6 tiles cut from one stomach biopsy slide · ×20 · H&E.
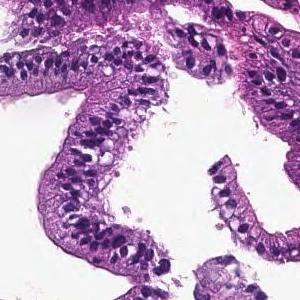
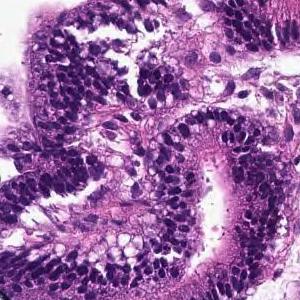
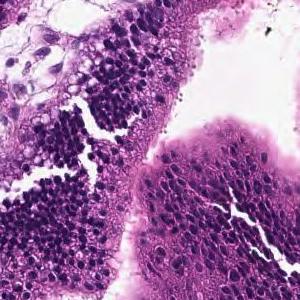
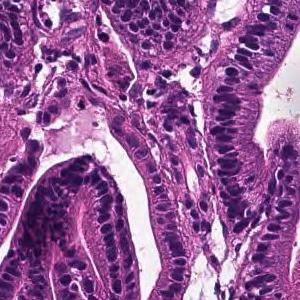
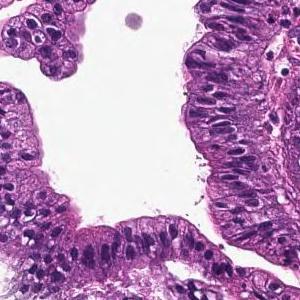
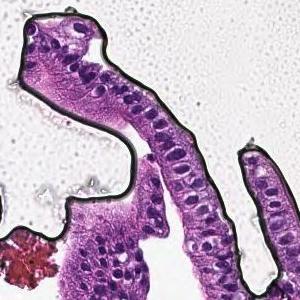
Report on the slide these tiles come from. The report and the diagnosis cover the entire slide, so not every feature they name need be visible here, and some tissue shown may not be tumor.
On the superficial epithelium, tumor tissue that infiltrates by forming medium-sized round or small irregular ducts is observed. Papillary adenocarcinoma
